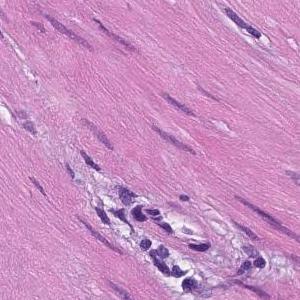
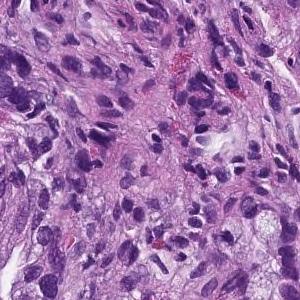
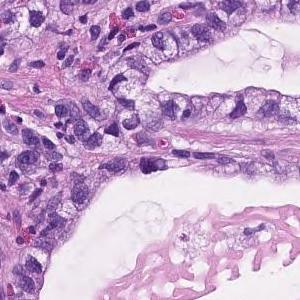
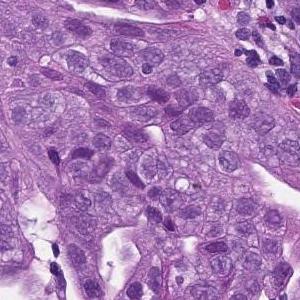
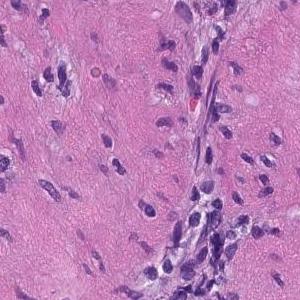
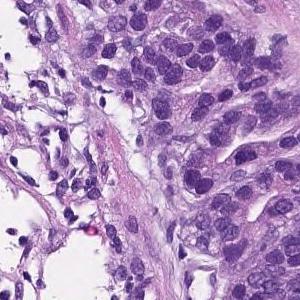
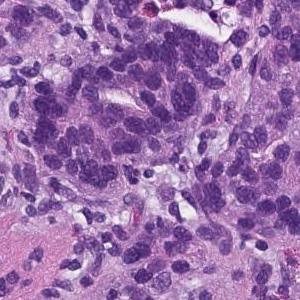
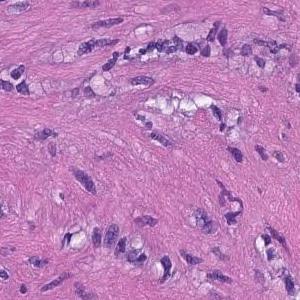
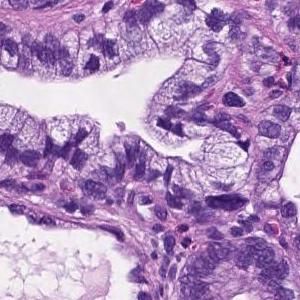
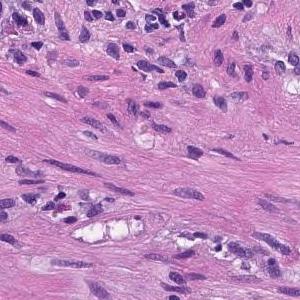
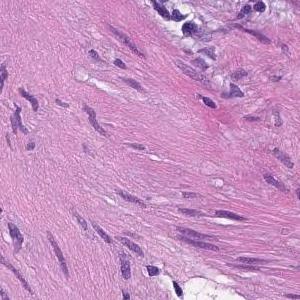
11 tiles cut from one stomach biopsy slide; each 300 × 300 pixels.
The pathologist's report on the biopsy slide these tiles were taken from. The findings and the diagnosis refer to the entire slide; these tiles show only part of it, possibly with non-tumor tissue, and may not show every feature named.
From the superficial epithelium to the muscularis mucosae, tumor tissue consisting of medium-sized and irregular glandular ducts infiltrating is observed. Well differentiated tubular adenocarcinoma
